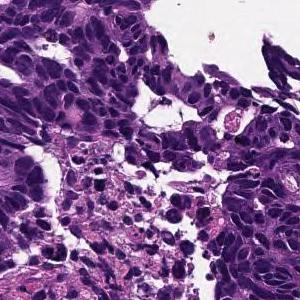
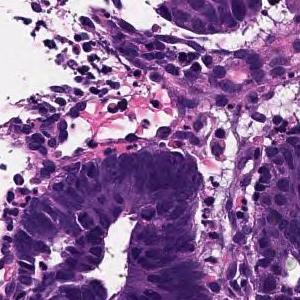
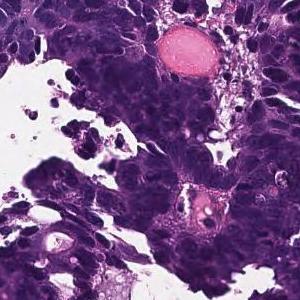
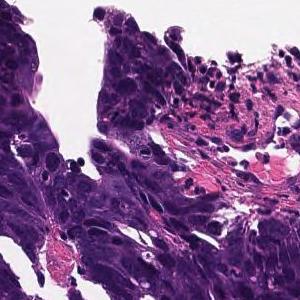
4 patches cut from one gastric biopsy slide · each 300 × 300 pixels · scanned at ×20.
Pathology report for the biopsy slide these tiles were cut from. Both the report and the diagnosis are for the whole slide: these tiles need not show every feature named, and some of the tissue shown may not be tumor.
In the superficial epithelium, tumor tissue that invades by forming medium-sized to small, irregular ducts is observed. moderately differentiated tubular adenocarcinoma.
